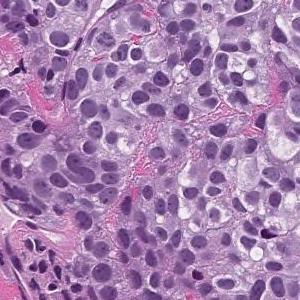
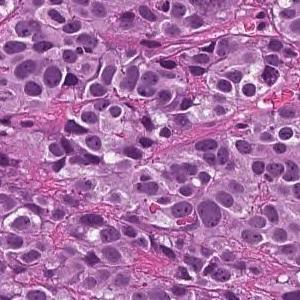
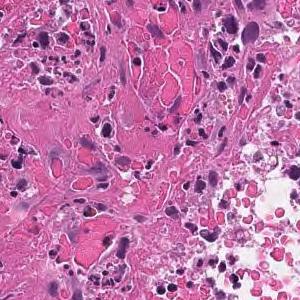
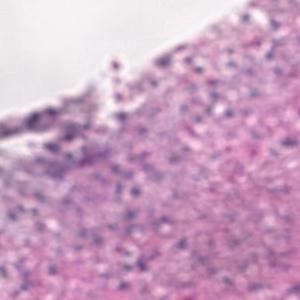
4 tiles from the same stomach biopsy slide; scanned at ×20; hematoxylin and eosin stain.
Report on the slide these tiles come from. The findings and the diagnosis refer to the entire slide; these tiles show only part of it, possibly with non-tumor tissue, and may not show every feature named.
The superficial epithelium shows a large sheet-like shape, and some tumor tissue infiltrates with small irregular ducts. Poorly differentiated adenocarcinoma, solid-type
Histologic type: Poorly differentiated adenocarcinoma, solid type. This name comes from the Japanese Classification of Gastric Carcinoma; the WHO 2019 classification calls it tubular adenocarcinoma, poorly differentiated.
